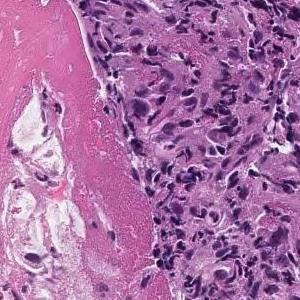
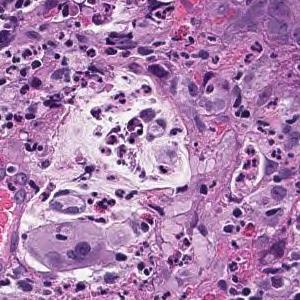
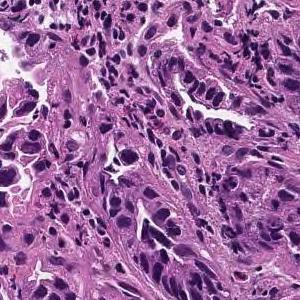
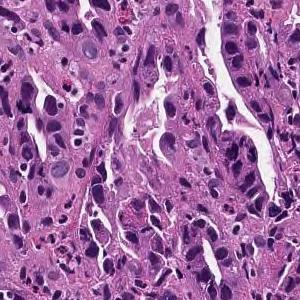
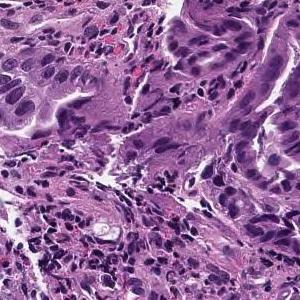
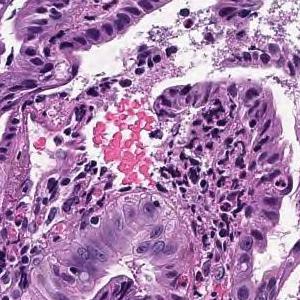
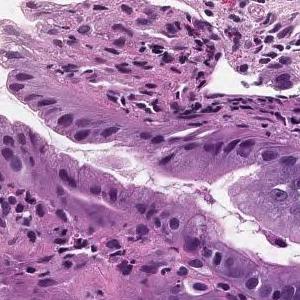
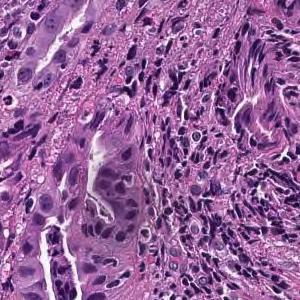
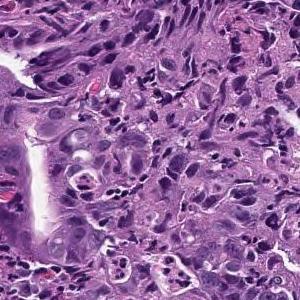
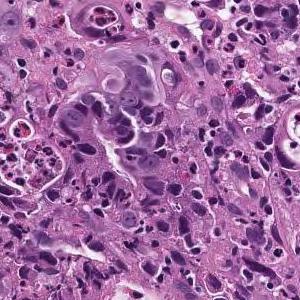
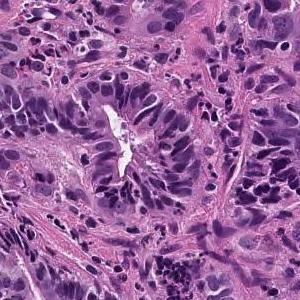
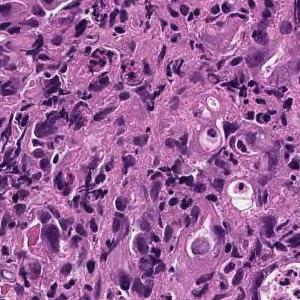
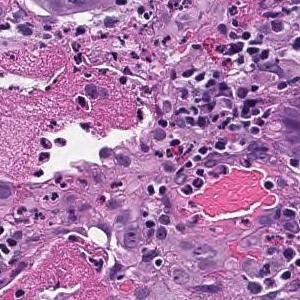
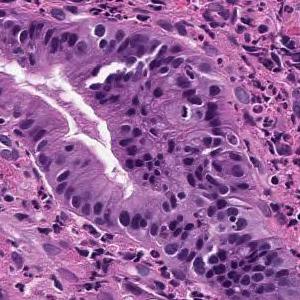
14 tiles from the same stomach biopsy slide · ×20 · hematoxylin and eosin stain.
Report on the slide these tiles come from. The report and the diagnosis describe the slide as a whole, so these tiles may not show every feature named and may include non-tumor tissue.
On the superficial epithelium, tumor tissue consisting of large, irregular glandular ducts partially fused and infiltrated is observed. Well to moderately differentiated tubular adenocarcinoma (well differentiated tubular adenocarcinoma, moderately differentiated tubular adenocarcinoma)
Histologic type: Well to moderately differentiated tubular adenocarcinoma.
